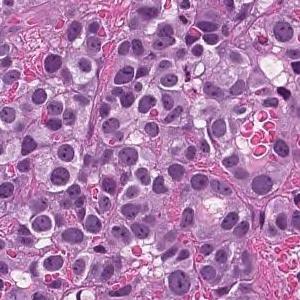
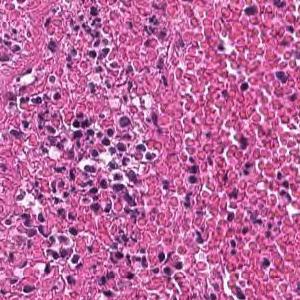
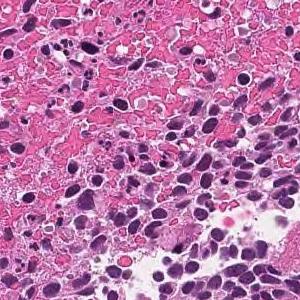
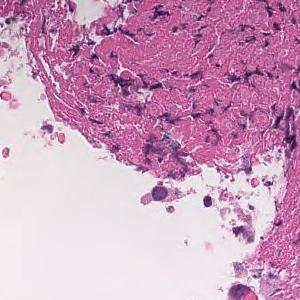
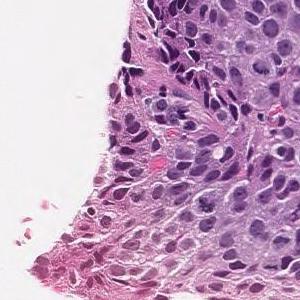
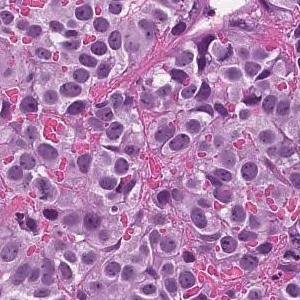
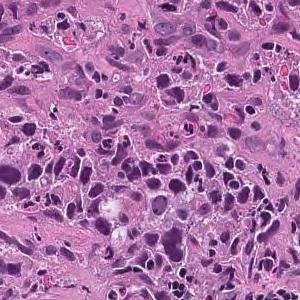
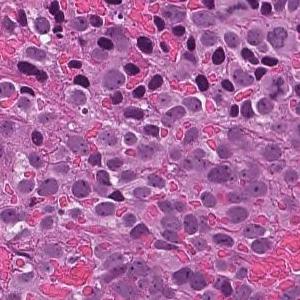
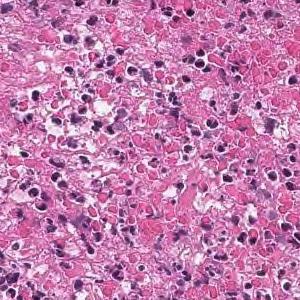
9 image tiles from a single gastric biopsy slide; H&E stain.
Pathology report for the biopsy slide these tiles were cut from. Both the report and the diagnosis are for the whole slide: these tiles need not show every feature named, and some of the tissue shown may not be tumor.
The superficial epithelium shows a large sheet-like shape, and some tumor tissue infiltrates with small irregular ducts. Poorly differentiated adenocarcinoma, solid-type
Subtype: Poorly differentiated adenocarcinoma, solid type. This name comes from the Japanese Classification of Gastric Carcinoma; the WHO 2019 classification calls it tubular adenocarcinoma, poorly differentiated.
